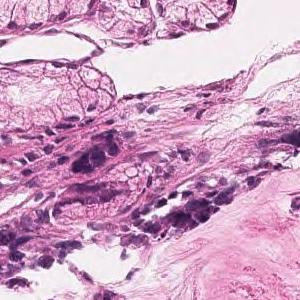
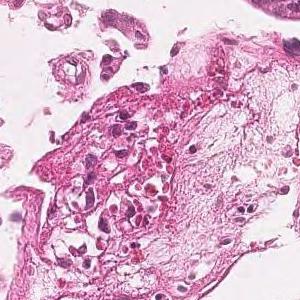
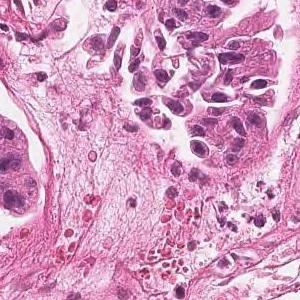
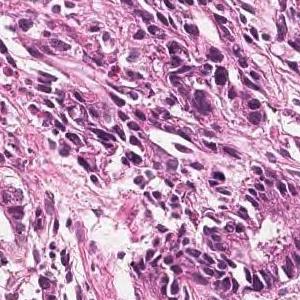
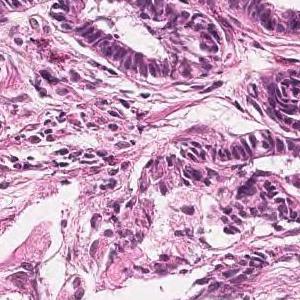
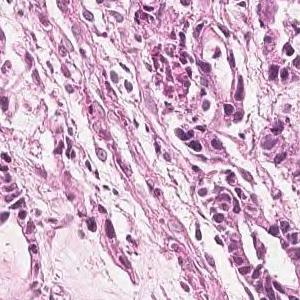
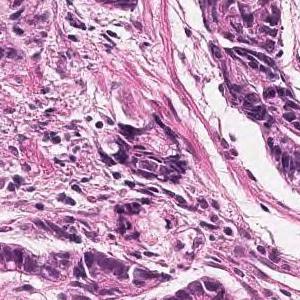
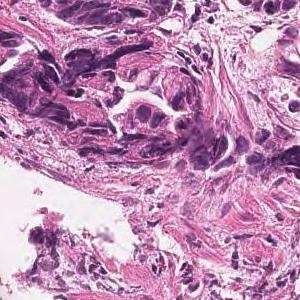
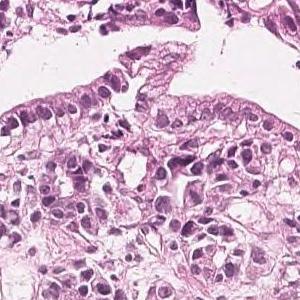
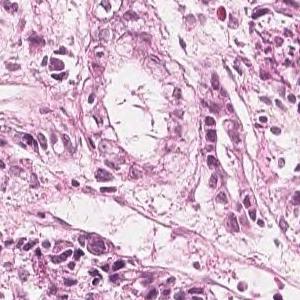
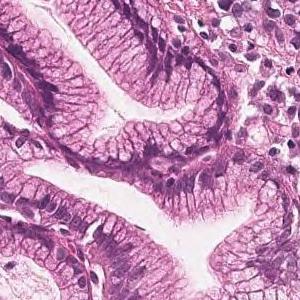
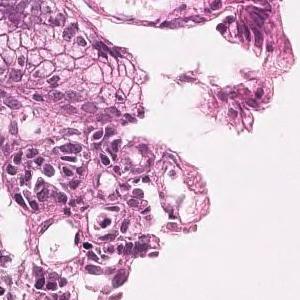
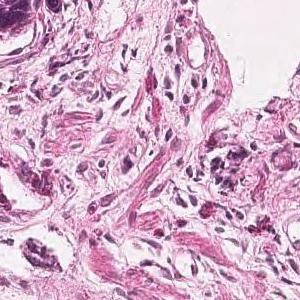
Hematoxylin and eosin stain, scanned at ×20, 13 image tiles from a single gastric biopsy slide, 300×300 px each.
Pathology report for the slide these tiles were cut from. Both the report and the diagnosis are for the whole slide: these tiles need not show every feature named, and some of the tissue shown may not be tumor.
On the superficial epithelium, tumor tissue consisting of large, irregular glandular ducts partially fused and infiltrated is observed. Well to moderately differentiated tubular adenocarcinoma (well differentiated tubular adenocarcinoma, moderately differentiated tubular adenocarcinoma)
Histologic type: Well to moderately differentiated tubular adenocarcinoma.
